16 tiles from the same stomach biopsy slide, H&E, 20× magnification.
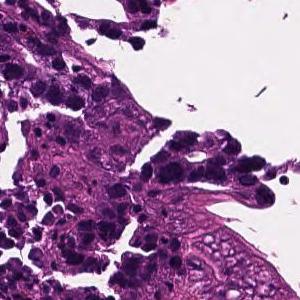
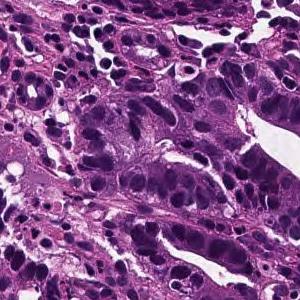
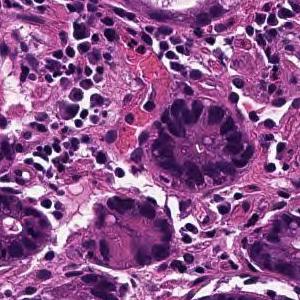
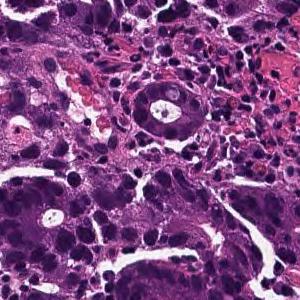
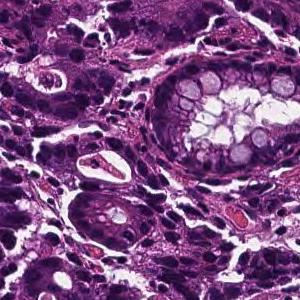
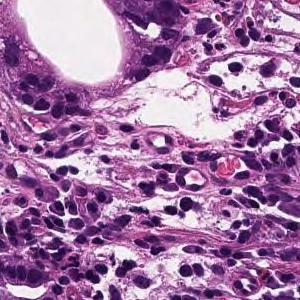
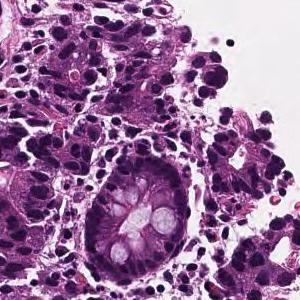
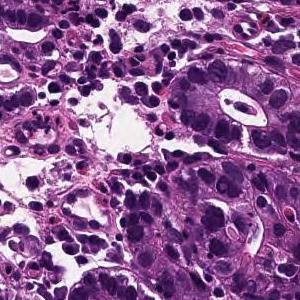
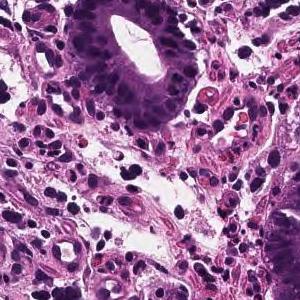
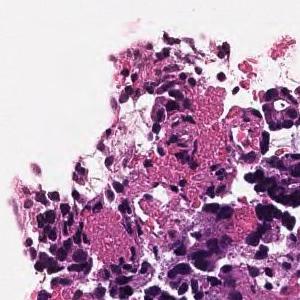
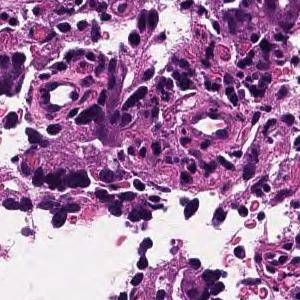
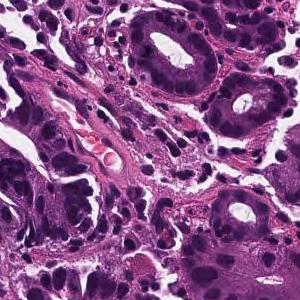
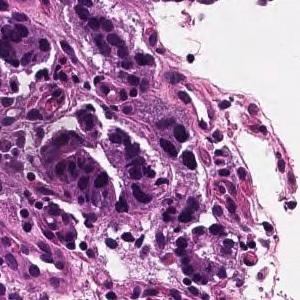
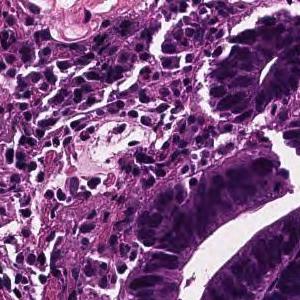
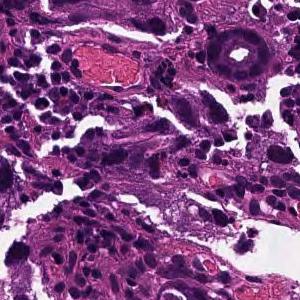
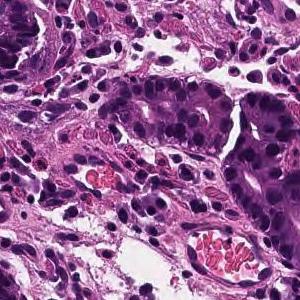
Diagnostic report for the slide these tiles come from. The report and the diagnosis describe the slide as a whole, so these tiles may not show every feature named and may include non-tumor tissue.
In the superficial epithelium, tumor tissue that invades by forming medium-sized to small, irregular ducts is observed. moderately differentiated tubular adenocarcinoma.
